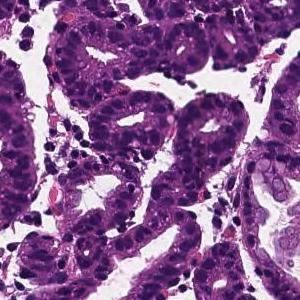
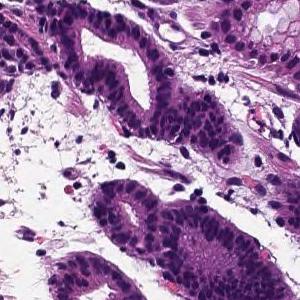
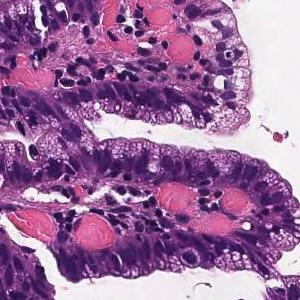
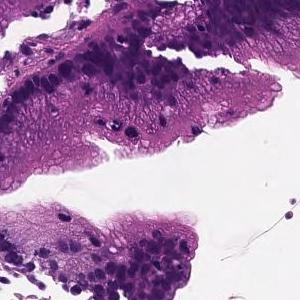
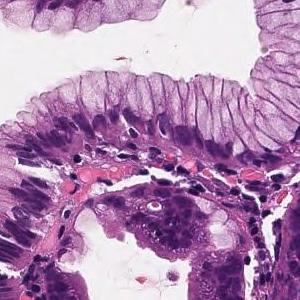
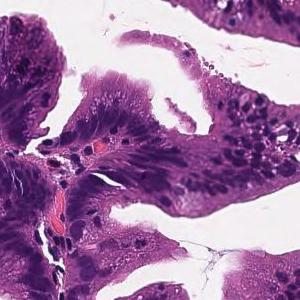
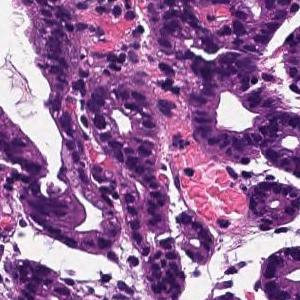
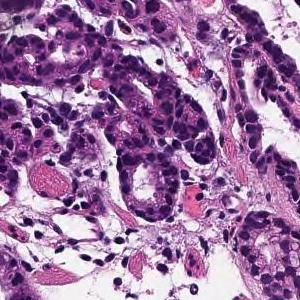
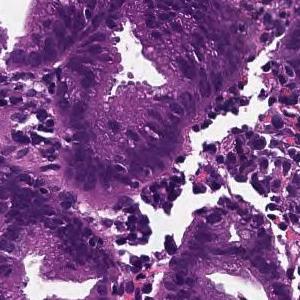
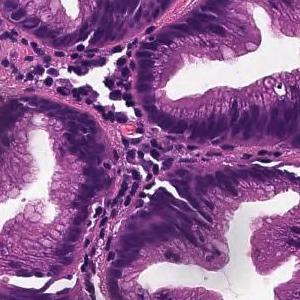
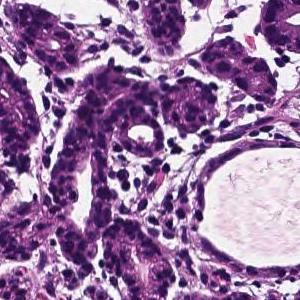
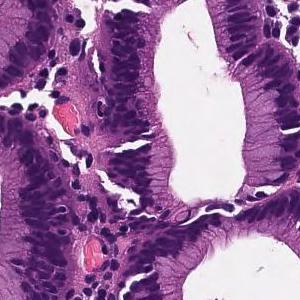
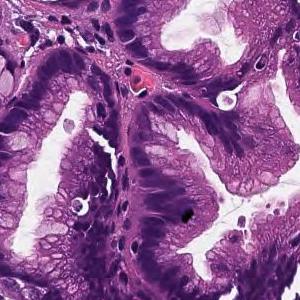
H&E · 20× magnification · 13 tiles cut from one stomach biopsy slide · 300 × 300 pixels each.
Diagnostic report for the slide these tiles come from. The findings and the diagnosis refer to the entire slide; these tiles show only part of it, possibly with non-tumor tissue, and may not show every feature named.
Cells with elliptical or atypical nuclei form dense ducts with relatively clear growth. Well differentiated tubular adenocarcinoma
